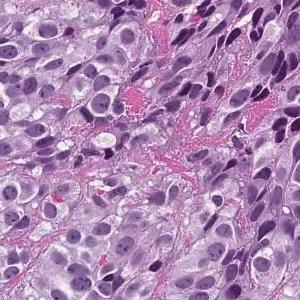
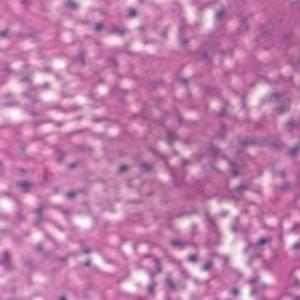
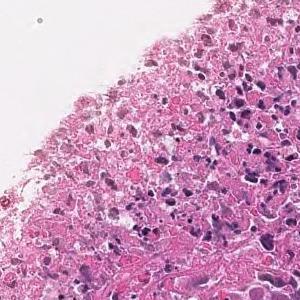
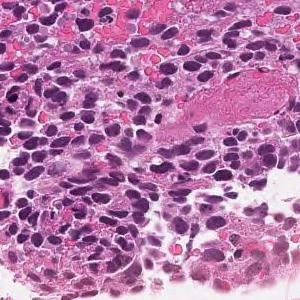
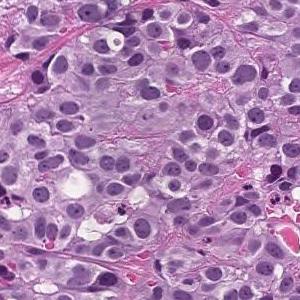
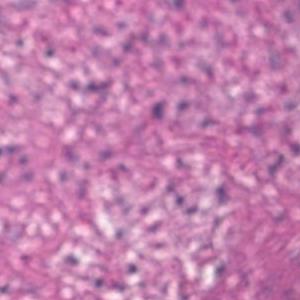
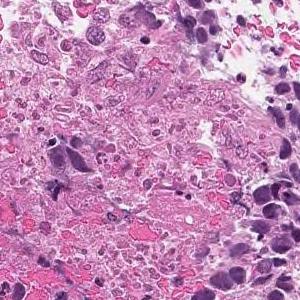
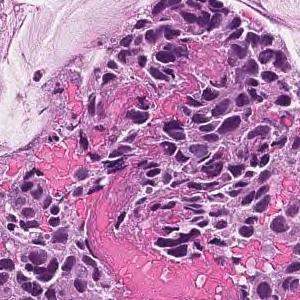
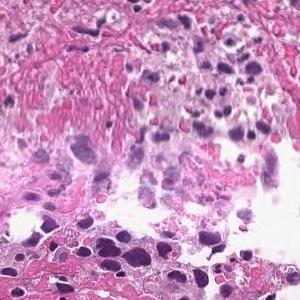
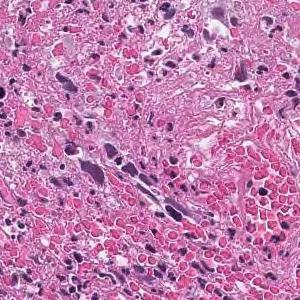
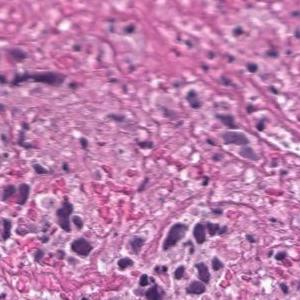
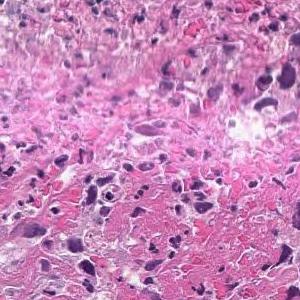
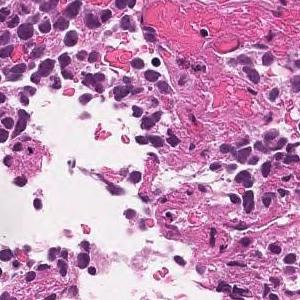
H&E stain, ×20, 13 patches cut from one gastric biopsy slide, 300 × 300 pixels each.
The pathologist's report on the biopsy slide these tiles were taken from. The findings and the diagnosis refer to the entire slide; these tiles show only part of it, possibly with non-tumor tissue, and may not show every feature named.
The superficial epithelium shows a large sheet-like shape, and some tumor tissue infiltrates with small irregular ducts. Poorly differentiated adenocarcinoma, solid-type
Classified as poorly differentiated adenocarcinoma, solid type. This name comes from the Japanese Classification of Gastric Carcinoma; the WHO 2019 classification calls it tubular adenocarcinoma, poorly differentiated.
